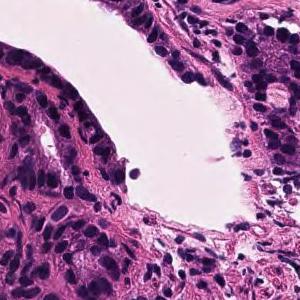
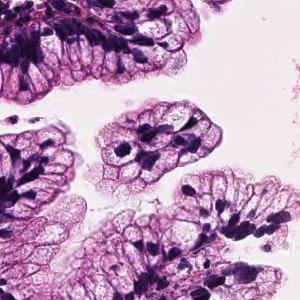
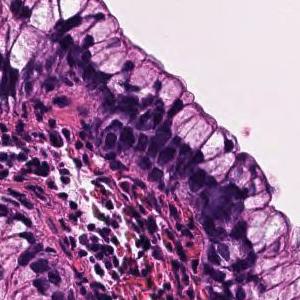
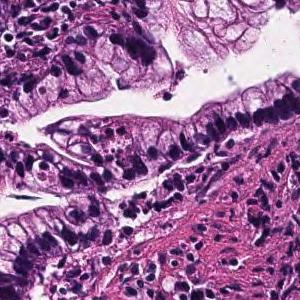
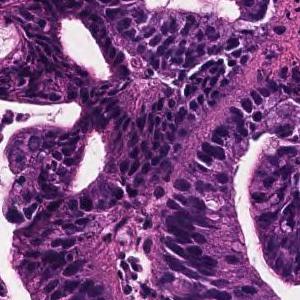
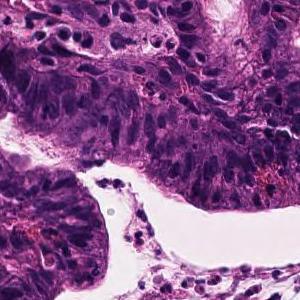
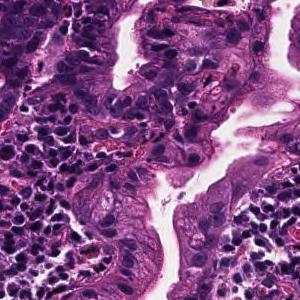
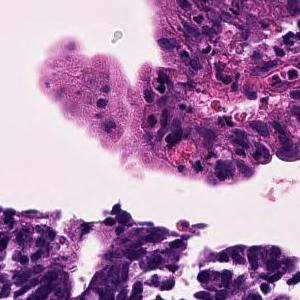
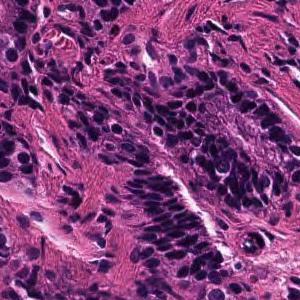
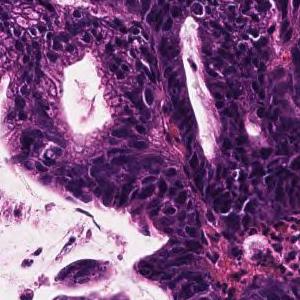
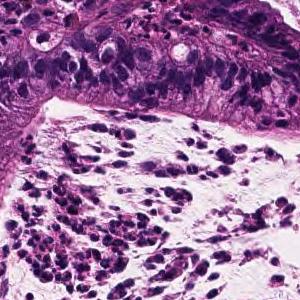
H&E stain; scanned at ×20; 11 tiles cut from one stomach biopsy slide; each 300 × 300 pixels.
Report on the slide these tiles come from. What the report and the diagnosis say applies to the whole slide; these tiles may miss some of the features named and may include tissue that is not tumor.
Tumor cells are large, highly columnar, large club-shaped nuclei, and are associated with chromatin aggregation. Papillary adenocarcinoma.
